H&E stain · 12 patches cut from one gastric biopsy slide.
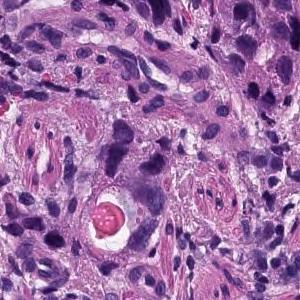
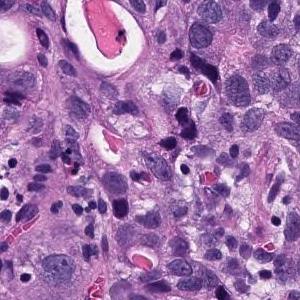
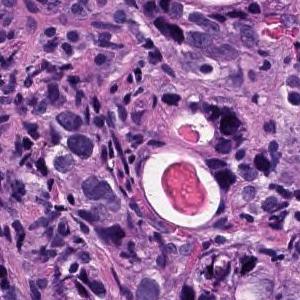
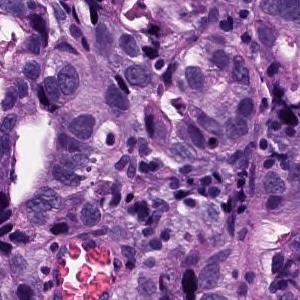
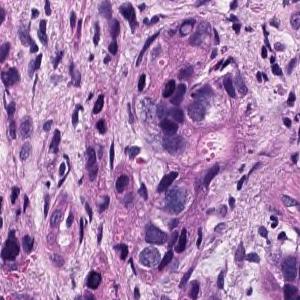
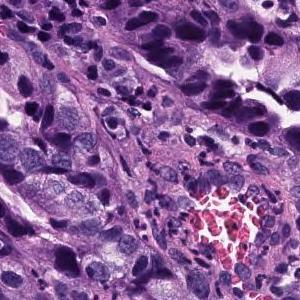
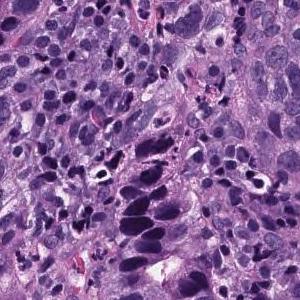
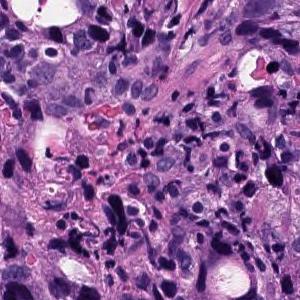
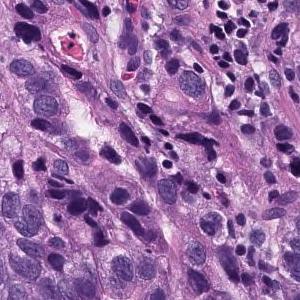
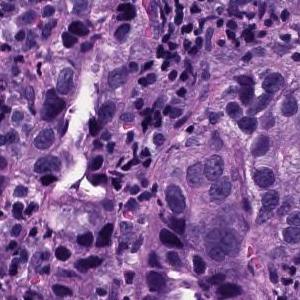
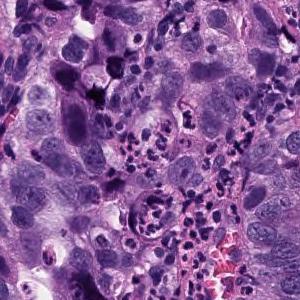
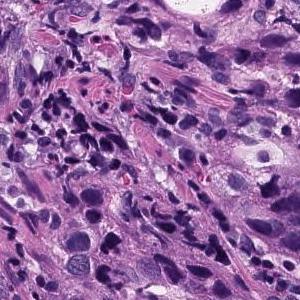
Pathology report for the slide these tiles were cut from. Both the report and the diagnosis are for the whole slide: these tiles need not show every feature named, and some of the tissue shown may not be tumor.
In the epithelium, tumor tissue in which medium to small irregular gland ducts fuse with each other and infiltrate the submucosa. moderately differentiated tubular adenocarcinoma
